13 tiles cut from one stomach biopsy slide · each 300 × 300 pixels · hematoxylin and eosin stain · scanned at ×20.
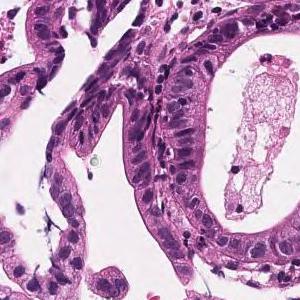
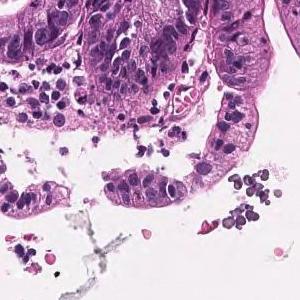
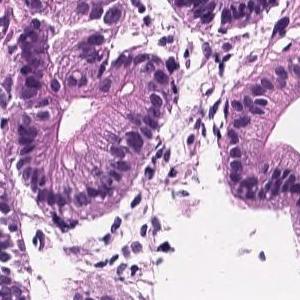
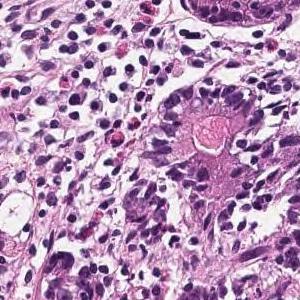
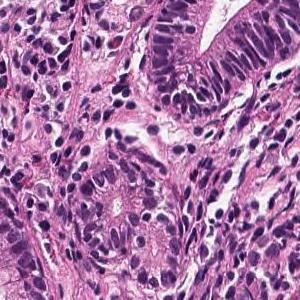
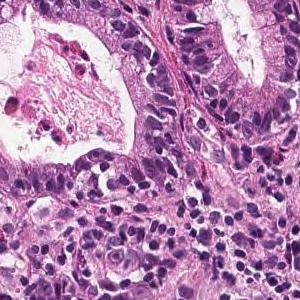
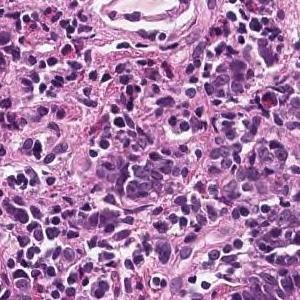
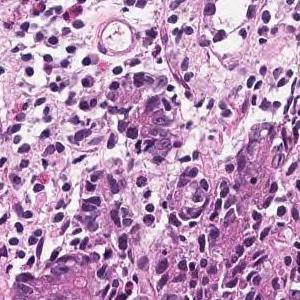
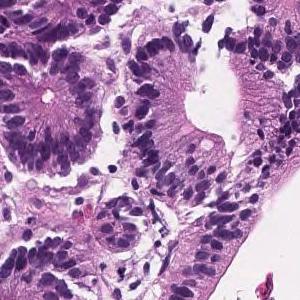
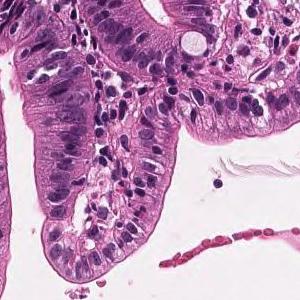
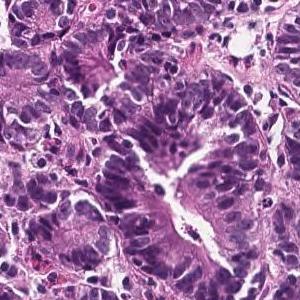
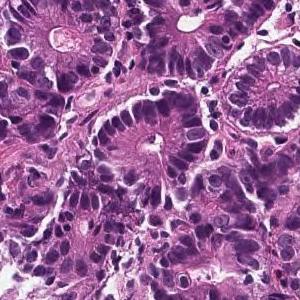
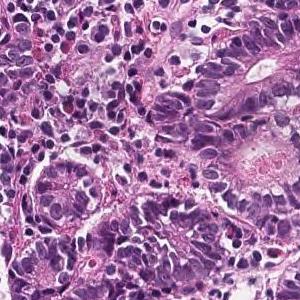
Pathology report for the biopsy slide these tiles were cut from. What the report and the diagnosis say applies to the whole slide; these tiles may miss some of the features named and may include tissue that is not tumor.
In the superficial epithelium, tumor tissue that invades by forming medium-sized to small, irregular ducts is observed. Moderately differentiated adenocarcinoma.
Histological subtype: Moderately differentiated tubular adenocarcinoma.
